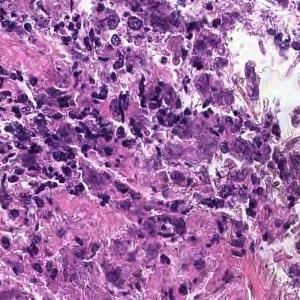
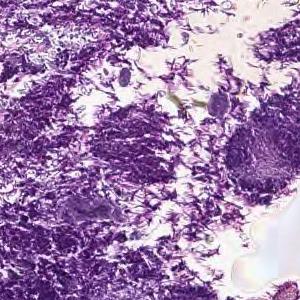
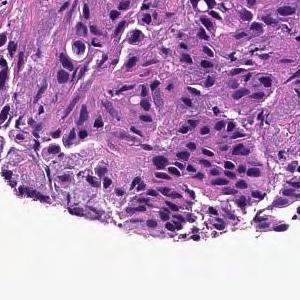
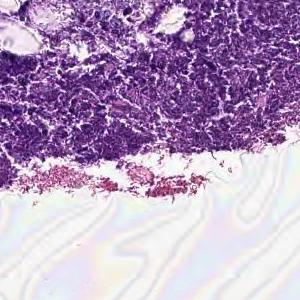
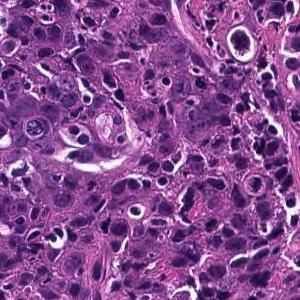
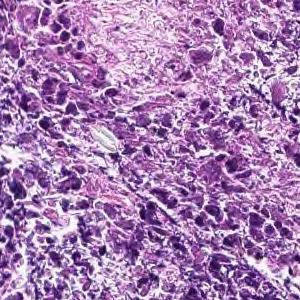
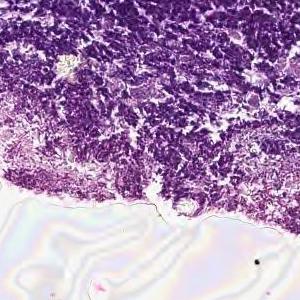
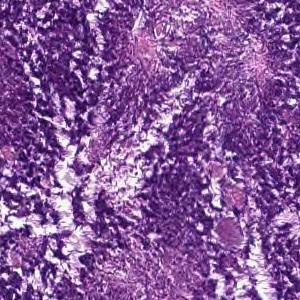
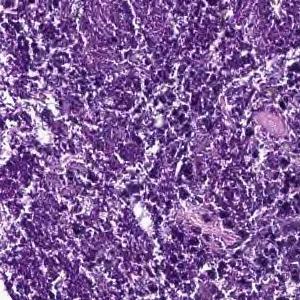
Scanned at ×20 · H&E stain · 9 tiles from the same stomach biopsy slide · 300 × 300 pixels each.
Report on the slide these tiles come from. The findings and the diagnosis refer to the entire slide; these tiles show only part of it, possibly with non-tumor tissue, and may not show every feature named.
Cancers with polygonal nuclei do not show glandular formation and are densely, in part, cord-like and proliferate. Poorly differentiated adenocarcinoma
Classified as poorly differentiated adenocarcinoma, non-solid type.
The non-solid type named here is a Japanese Classification of Gastric Carcinoma category.
